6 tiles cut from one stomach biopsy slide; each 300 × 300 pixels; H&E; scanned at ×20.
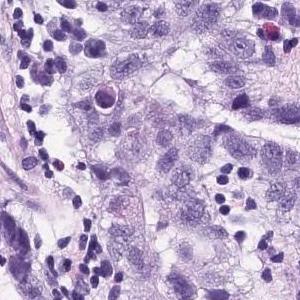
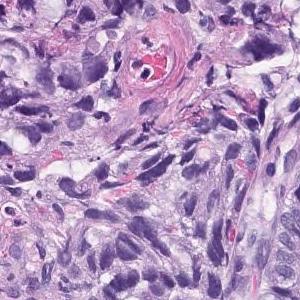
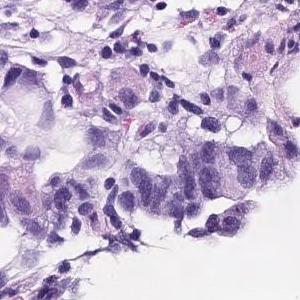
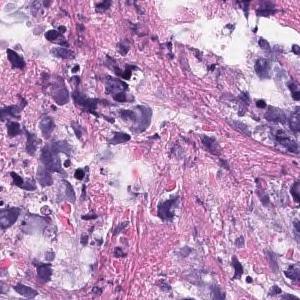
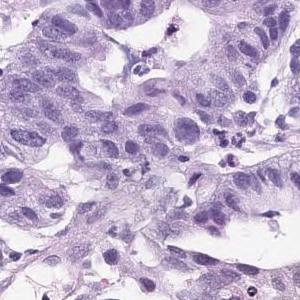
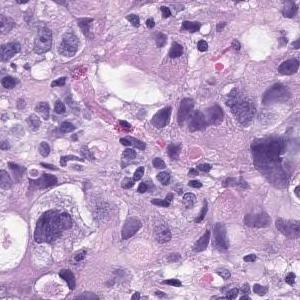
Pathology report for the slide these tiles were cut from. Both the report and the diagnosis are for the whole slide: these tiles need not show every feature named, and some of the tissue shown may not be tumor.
In the superficial epithelium, tumor tissue that invades by forming medium-sized to small, irregular ducts is observed. Moderately differentiated adenocarcinoma.
Histological subtype: Moderately differentiated tubular adenocarcinoma.
